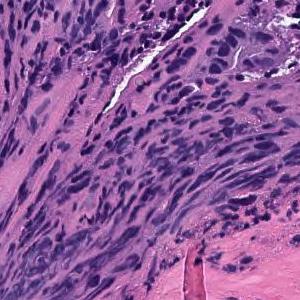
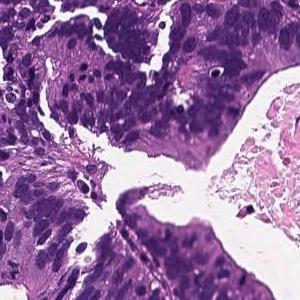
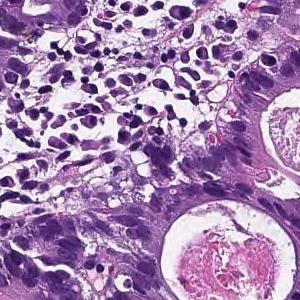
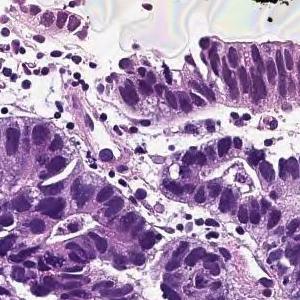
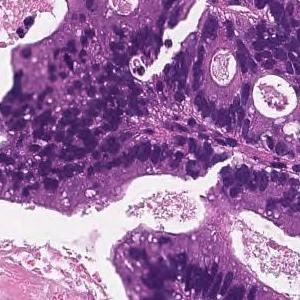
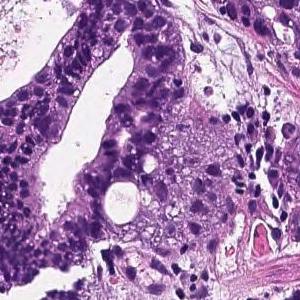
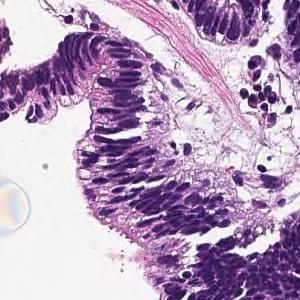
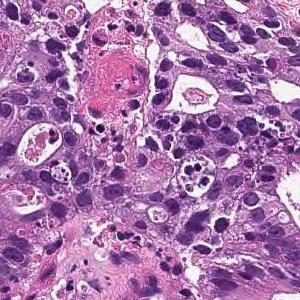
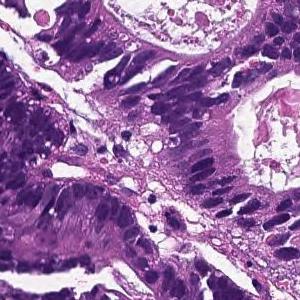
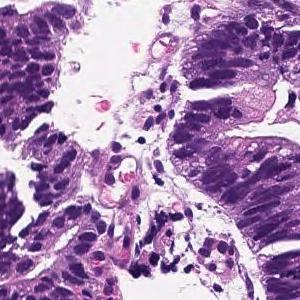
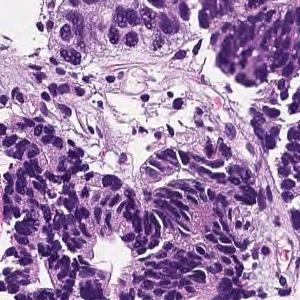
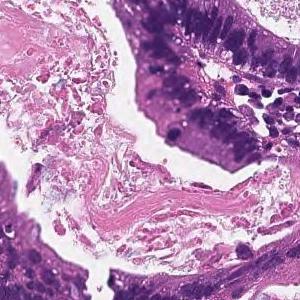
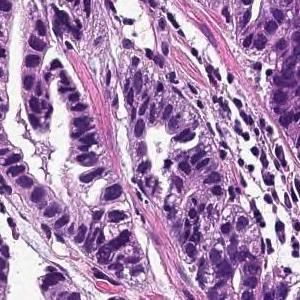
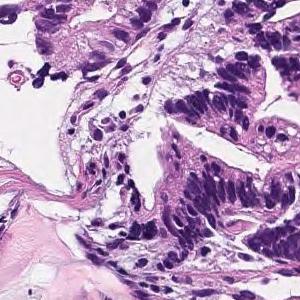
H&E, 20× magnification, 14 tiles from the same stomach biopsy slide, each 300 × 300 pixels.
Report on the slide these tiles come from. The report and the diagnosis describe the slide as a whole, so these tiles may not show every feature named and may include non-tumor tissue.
In the superficial epithelium, tumor tissue that invades by forming medium-sized to small, irregular ducts is observed. moderately differentiated tubular adenocarcinoma.
